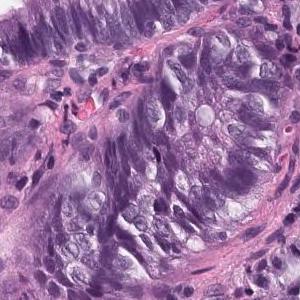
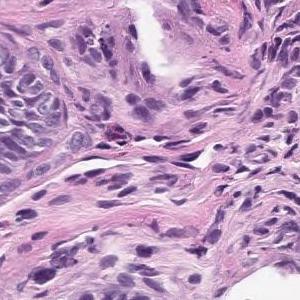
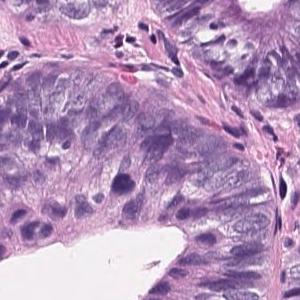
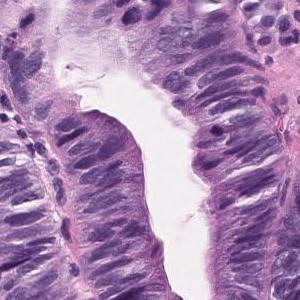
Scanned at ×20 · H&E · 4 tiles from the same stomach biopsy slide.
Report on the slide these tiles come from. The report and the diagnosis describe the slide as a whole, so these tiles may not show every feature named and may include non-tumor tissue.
Tumor tissue consisting of medium-sized and irregular ducts is observed infiltrating in the superficial epithelium. Tumor cells are highly columnar, with nuclei aligned basolaterally and polarized. Well differentiated tubular adenocarcinoma.
